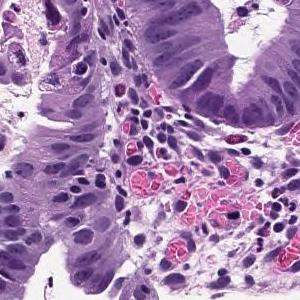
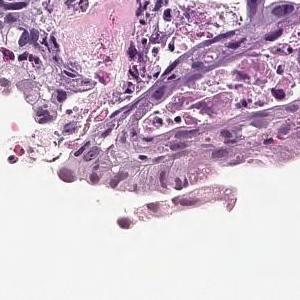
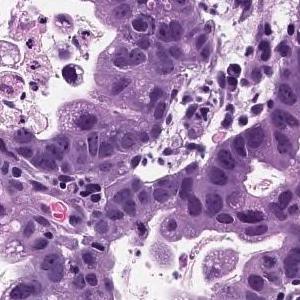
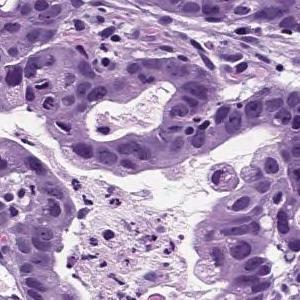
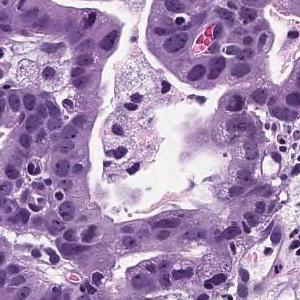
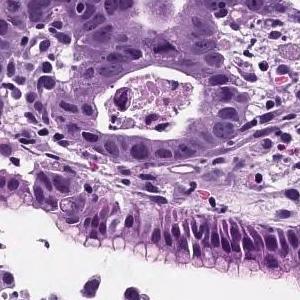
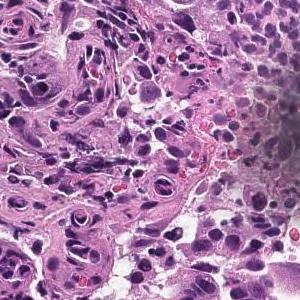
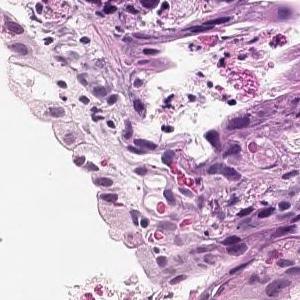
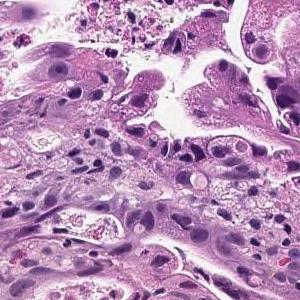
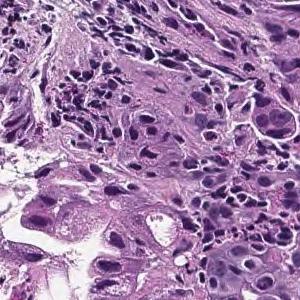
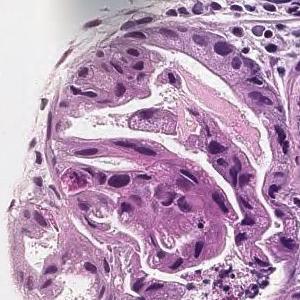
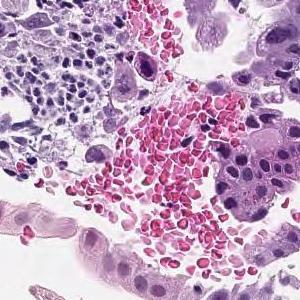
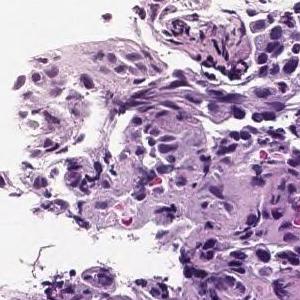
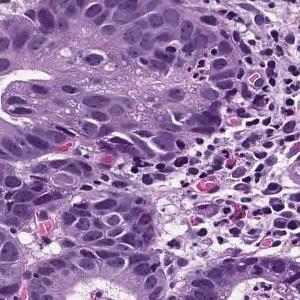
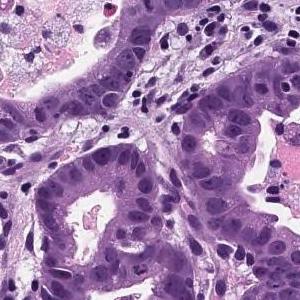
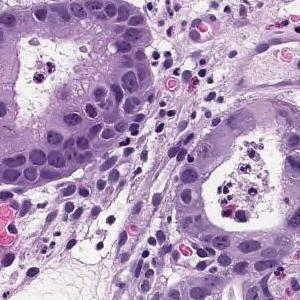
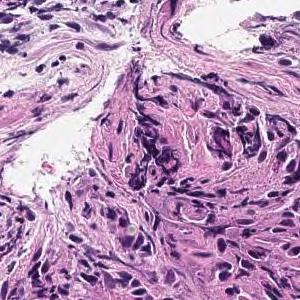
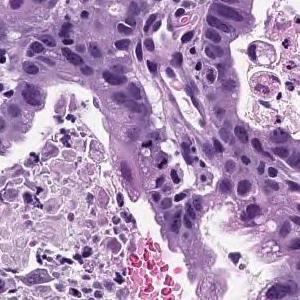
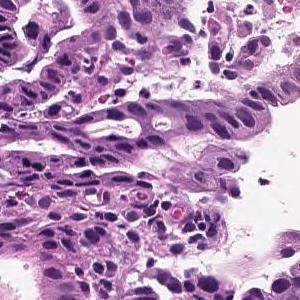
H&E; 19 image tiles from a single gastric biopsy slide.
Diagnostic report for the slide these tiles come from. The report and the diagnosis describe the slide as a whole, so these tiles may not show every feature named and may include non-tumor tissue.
Tumor cells are large, highly columnar, large club-shaped nuclei, and are associated with chromatin aggregation. Papillary adenocarcinoma.
